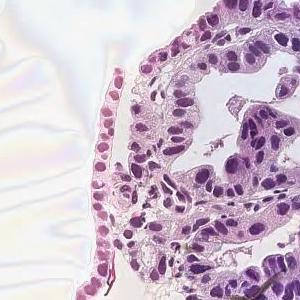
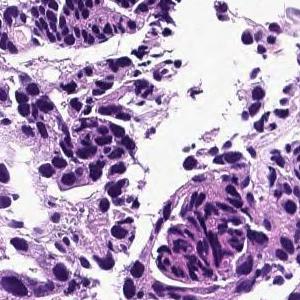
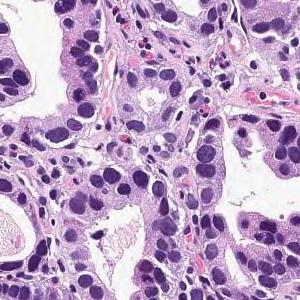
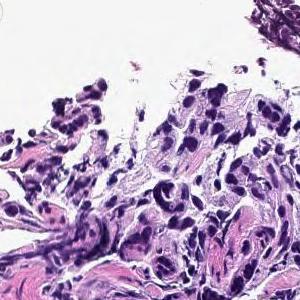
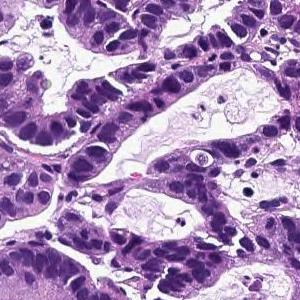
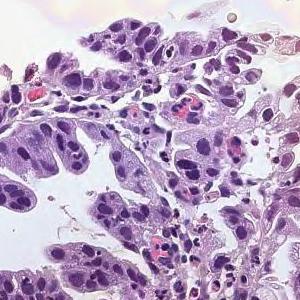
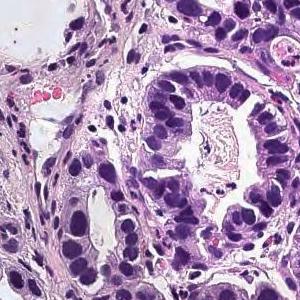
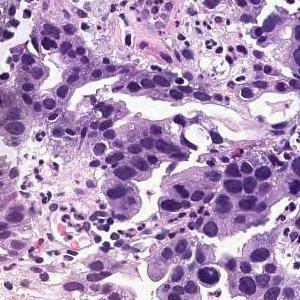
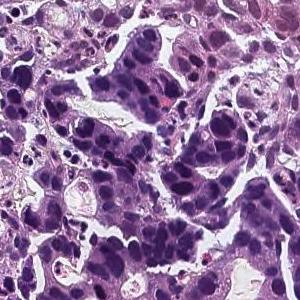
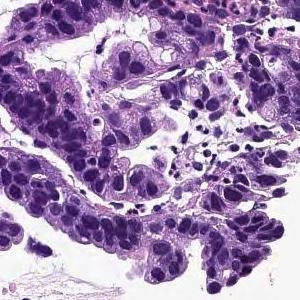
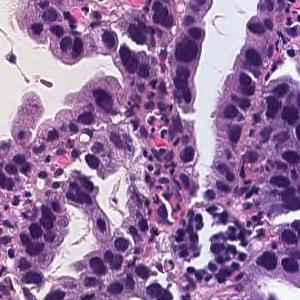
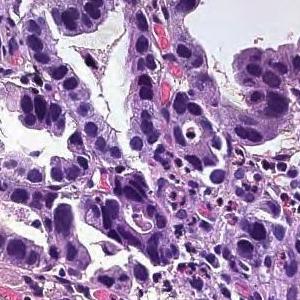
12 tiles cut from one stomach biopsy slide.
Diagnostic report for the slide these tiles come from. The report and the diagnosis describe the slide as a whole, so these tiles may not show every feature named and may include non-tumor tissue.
On the superficial epithelium, tumor tissue consisting of large irregular glandular ducts partially fused and infiltrated is observed. Well to moderately differentiated tubular adenocarcinoma (well differentiated tubular adenocarcinoma, moderately differentiated tubular adenocarcinoma)
Tumor subtype: well to moderately differentiated tubular adenocarcinoma.
